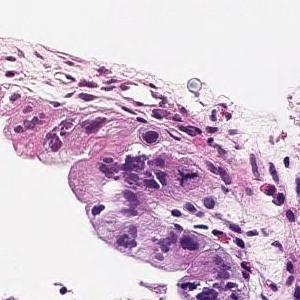
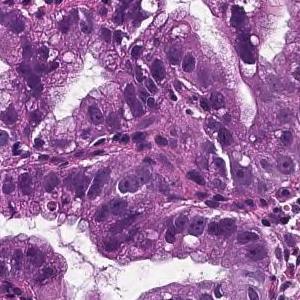
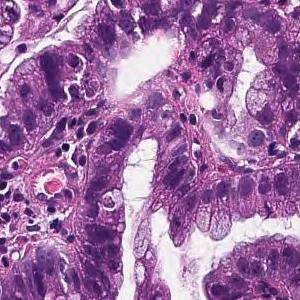
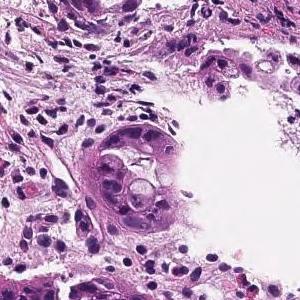
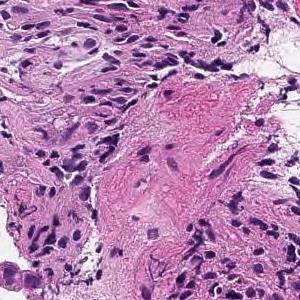
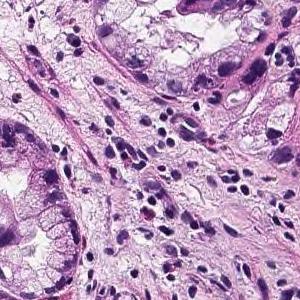
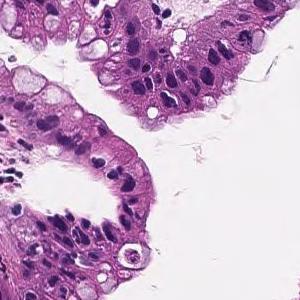
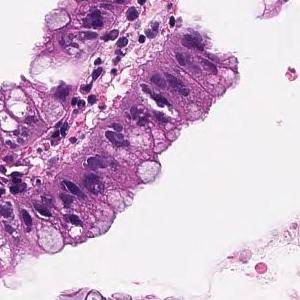
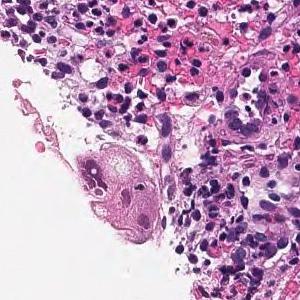
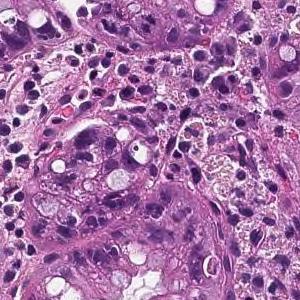
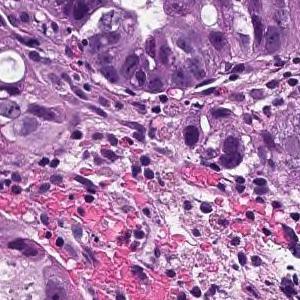
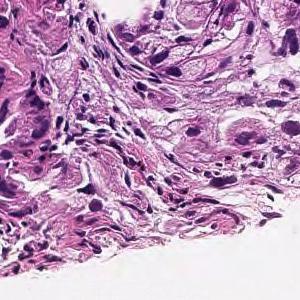
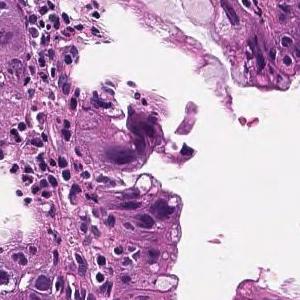
13 tiles from the same stomach biopsy slide; H&E stain.
Diagnostic report for the slide these tiles come from. Both the report and the diagnosis are for the whole slide: these tiles need not show every feature named, and some of the tissue shown may not be tumor.
From the superficial epithelium to the muscularis mucosae, tumor tissue consisting of medium-sized and irregular glandular ducts infiltrating is observed. Well differentiated tubular adenocarcinoma
